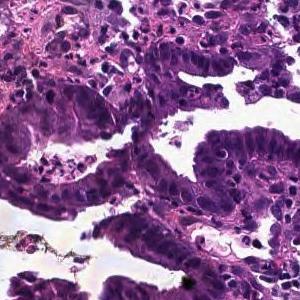
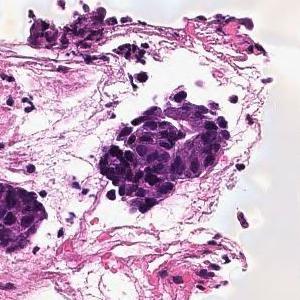
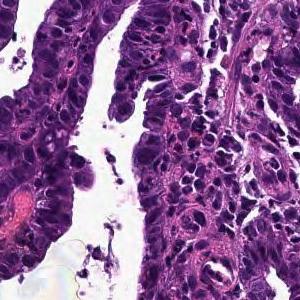
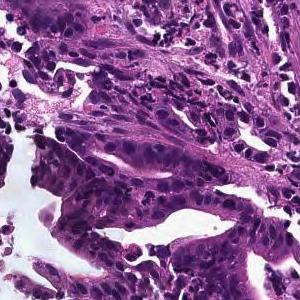
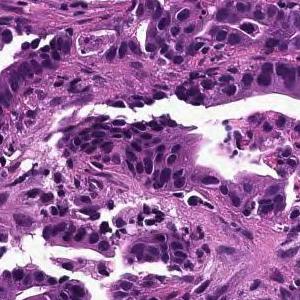
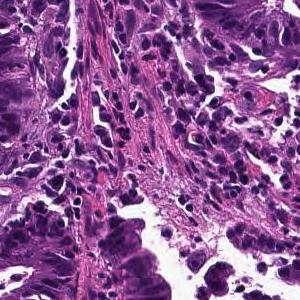
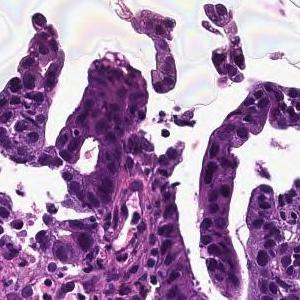
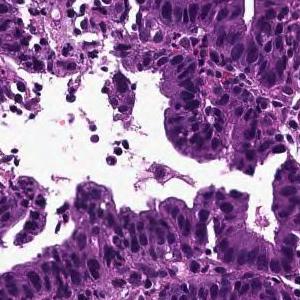
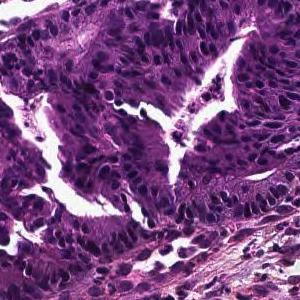
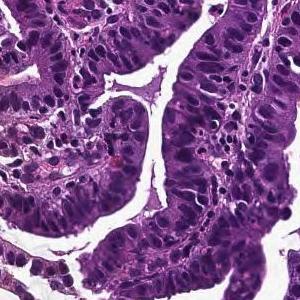
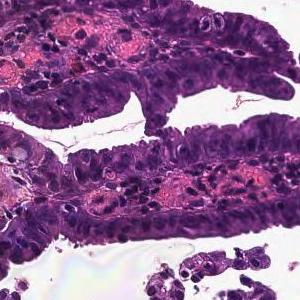
11 image tiles from a single gastric biopsy slide; 300×300 px each.
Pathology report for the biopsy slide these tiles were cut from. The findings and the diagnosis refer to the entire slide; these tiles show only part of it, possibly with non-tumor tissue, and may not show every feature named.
Tumor cells are large, highly columnar, large club-shaped nuclei, and are associated with chromatin aggregation. Papillary adenocarcinoma.
